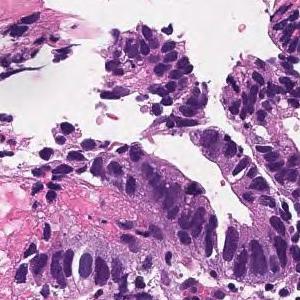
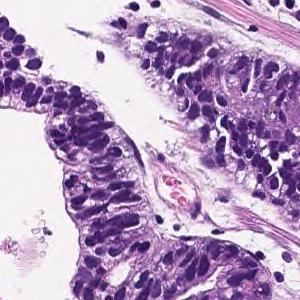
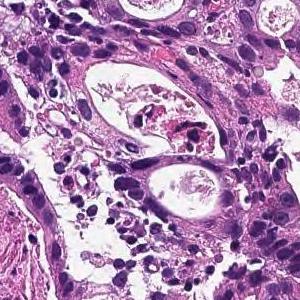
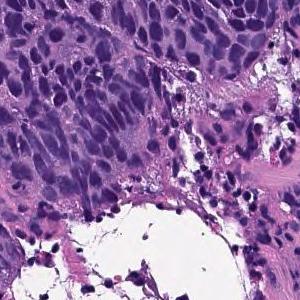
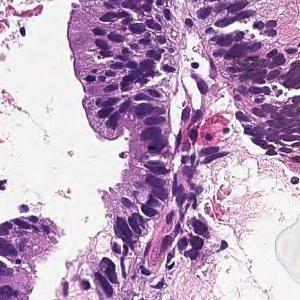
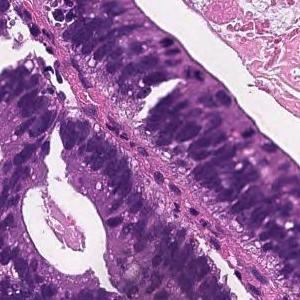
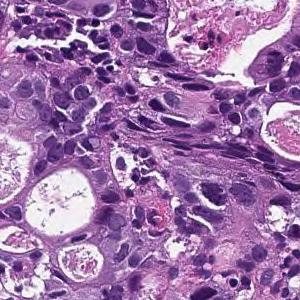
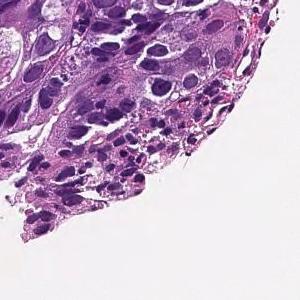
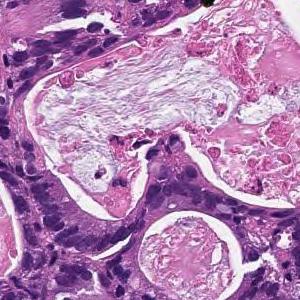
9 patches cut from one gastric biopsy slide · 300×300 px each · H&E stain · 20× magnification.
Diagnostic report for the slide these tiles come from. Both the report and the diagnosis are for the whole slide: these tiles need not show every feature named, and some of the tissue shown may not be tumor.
In the superficial epithelium, tumor tissue that invades by forming medium-sized to small, irregular ducts is observed. moderately differentiated tubular adenocarcinoma.
